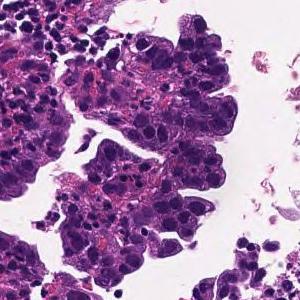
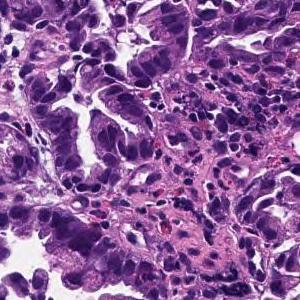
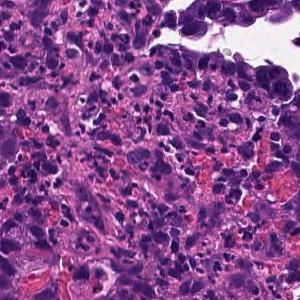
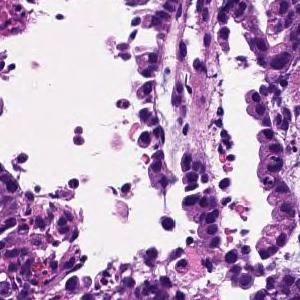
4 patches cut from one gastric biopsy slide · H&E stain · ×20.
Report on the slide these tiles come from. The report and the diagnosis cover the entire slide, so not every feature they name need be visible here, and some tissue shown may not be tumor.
In the superficial epithelium, tumor tissue that invades by forming medium-sized to small, irregular ducts is observed. moderately differentiated tubular adenocarcinoma.
